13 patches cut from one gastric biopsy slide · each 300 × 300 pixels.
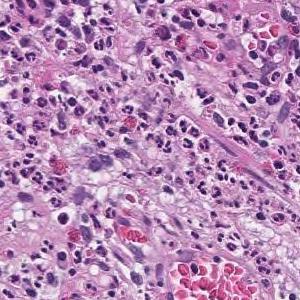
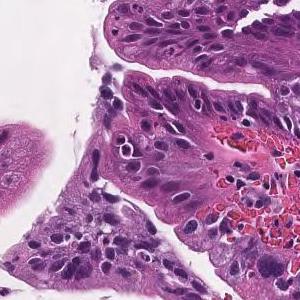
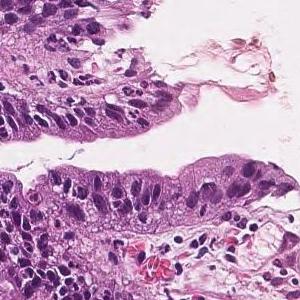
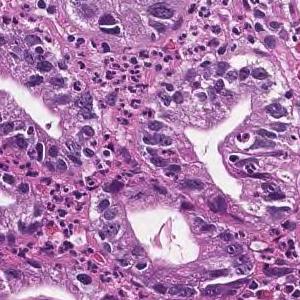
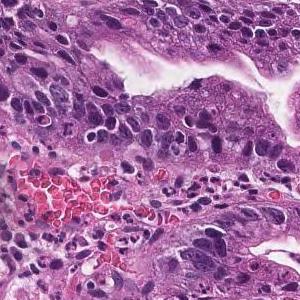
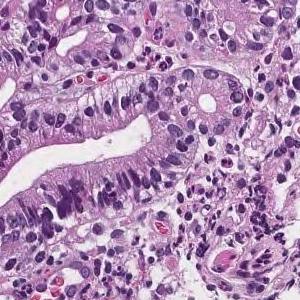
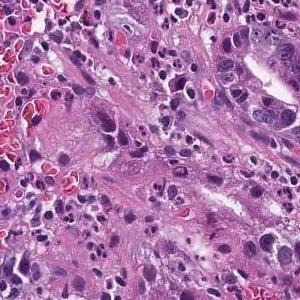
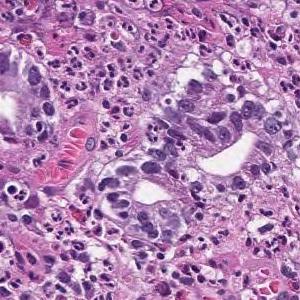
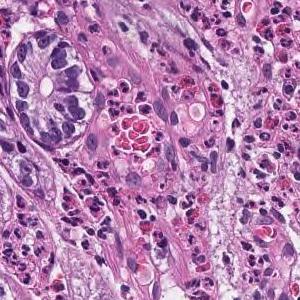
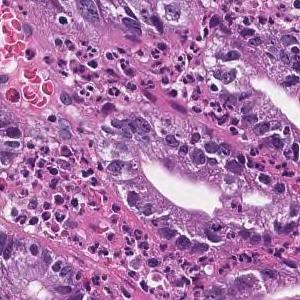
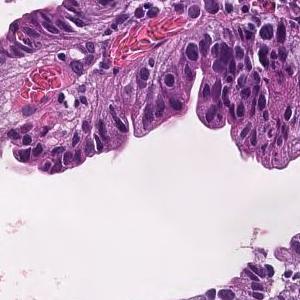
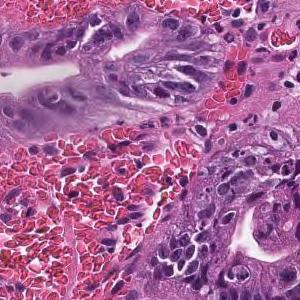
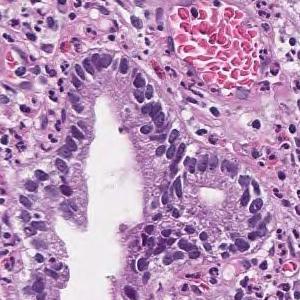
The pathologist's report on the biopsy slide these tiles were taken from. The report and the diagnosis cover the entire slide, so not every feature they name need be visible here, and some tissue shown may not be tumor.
Tumor cells are large, highly columnar, large club-shaped nuclei, and are associated with chromatin aggregation. Papillary adenocarcinoma.
